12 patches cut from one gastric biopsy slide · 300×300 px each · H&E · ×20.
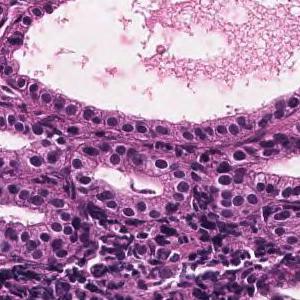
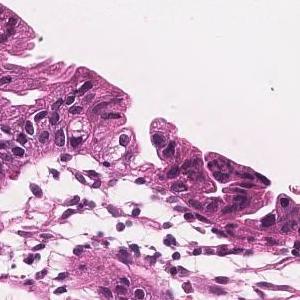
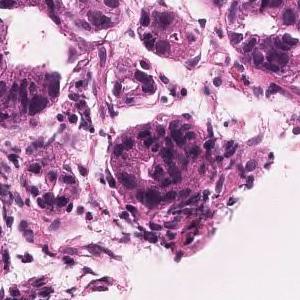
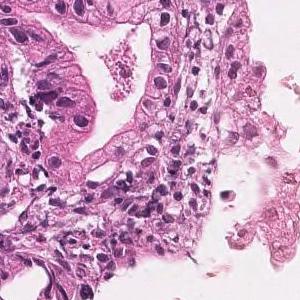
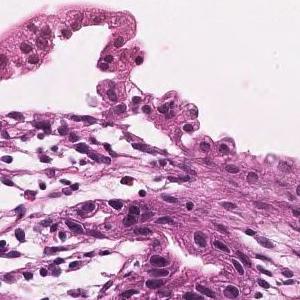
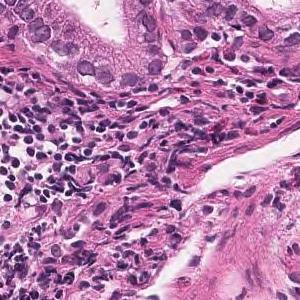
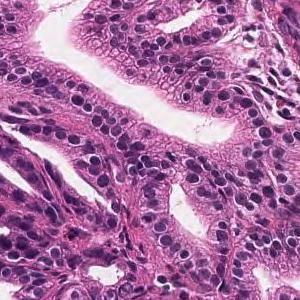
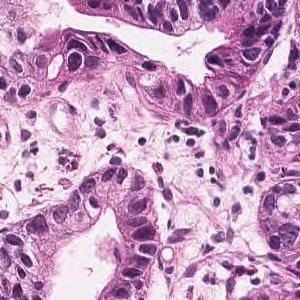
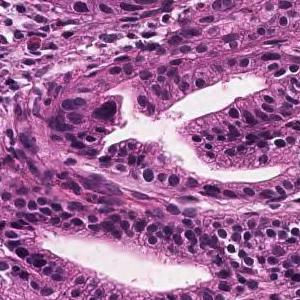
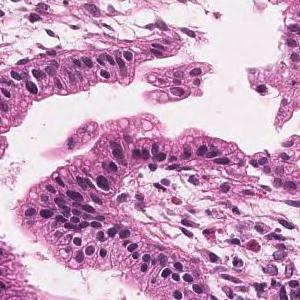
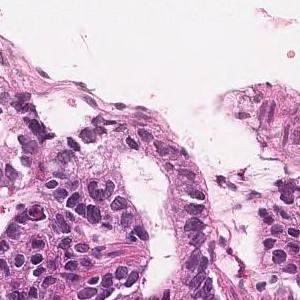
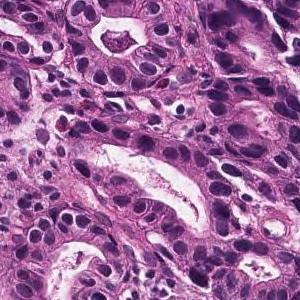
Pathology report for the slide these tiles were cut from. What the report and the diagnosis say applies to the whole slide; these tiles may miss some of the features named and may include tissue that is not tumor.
Tumor tissue consisting of medium-sized and irregular ducts is observed infiltrating in the superficial epithelium. Tumor cells are highly columnar, with nuclei aligned basolaterally and polarized. Well differentiated tubular adenocarcinoma.
